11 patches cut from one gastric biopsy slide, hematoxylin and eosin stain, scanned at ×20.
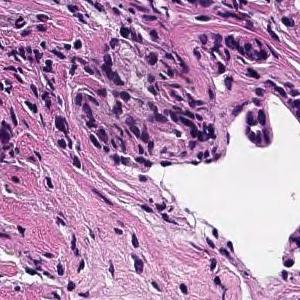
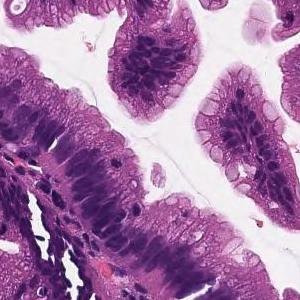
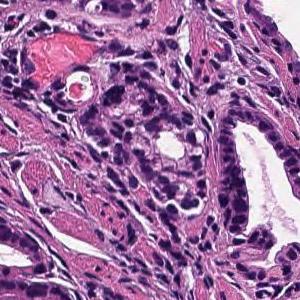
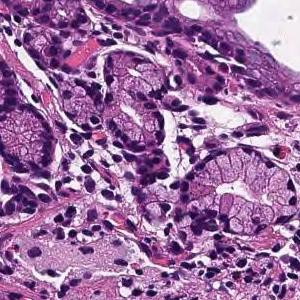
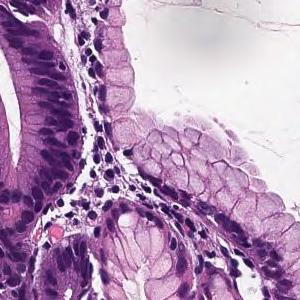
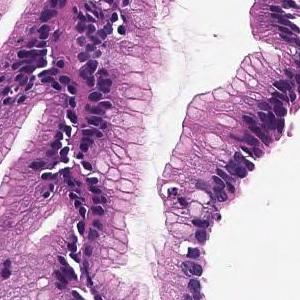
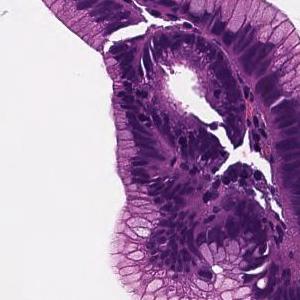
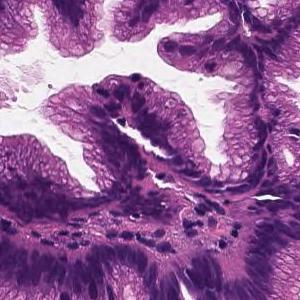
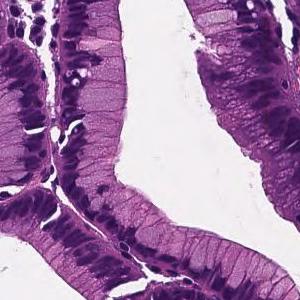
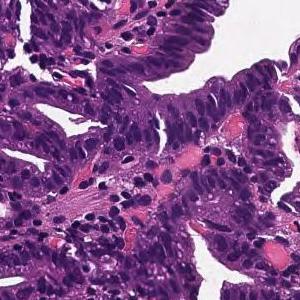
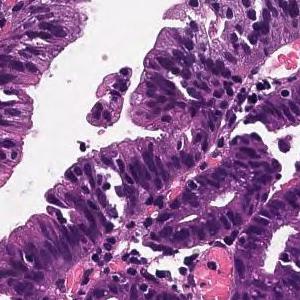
Report on the slide these tiles come from. Both the report and the diagnosis are for the whole slide: these tiles need not show every feature named, and some of the tissue shown may not be tumor.
Cells with elliptical or atypical nuclei form dense ducts with relatively clear growth. Well differentiated tubular adenocarcinoma
